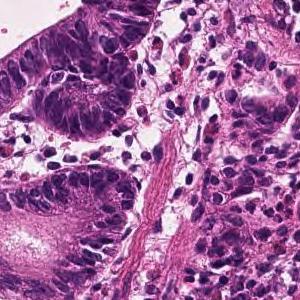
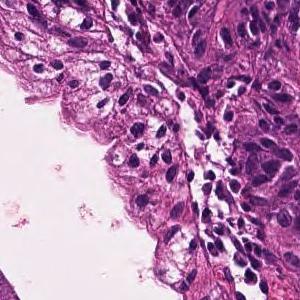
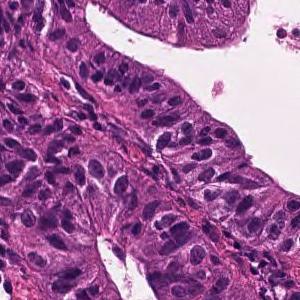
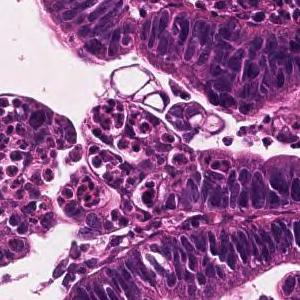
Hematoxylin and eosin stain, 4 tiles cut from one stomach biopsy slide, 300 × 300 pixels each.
Pathology report for the slide these tiles were cut from. Both the report and the diagnosis are for the whole slide: these tiles need not show every feature named, and some of the tissue shown may not be tumor.
A large irregular tubular structure is exhibited in the epithelium, and tumor tissue that partially fuses and infiltrates and proliferates is observed. Large columnar tumor cells exhibit enlarged nucleus, hyperchromatism, and mitotic figures. Well differentiated tubular adenocarcinoma
